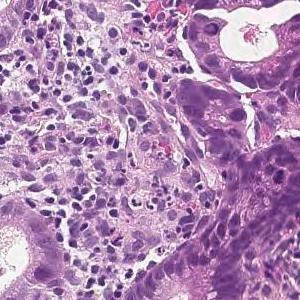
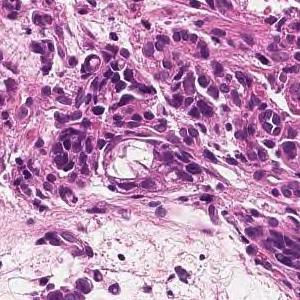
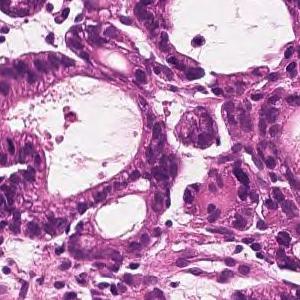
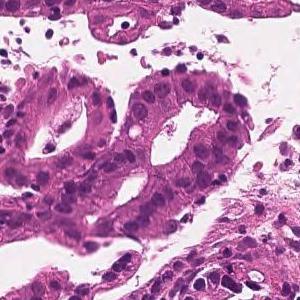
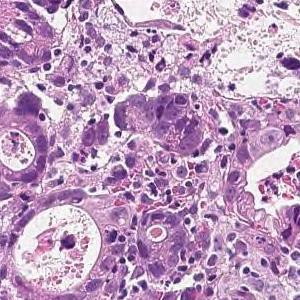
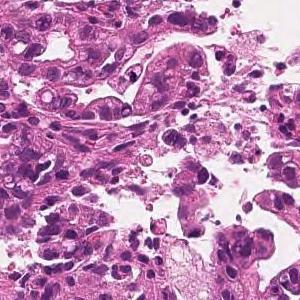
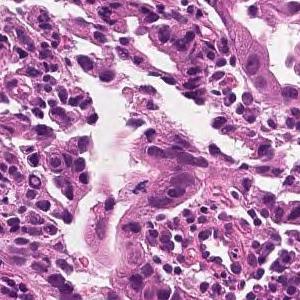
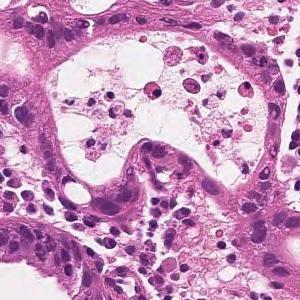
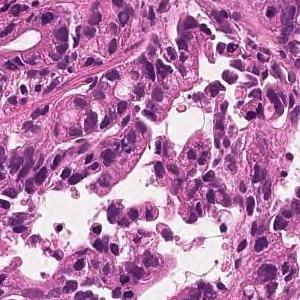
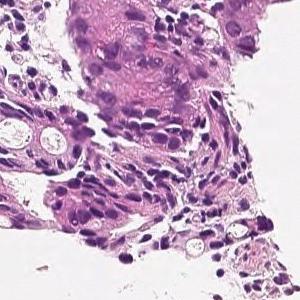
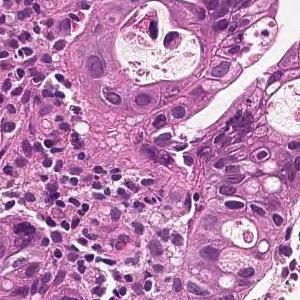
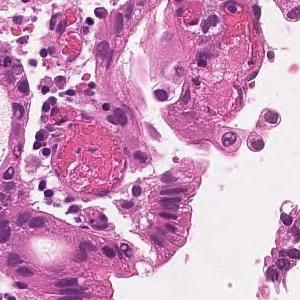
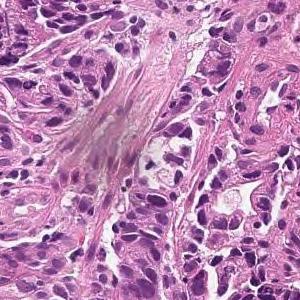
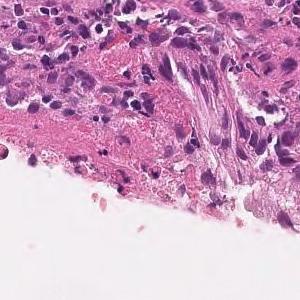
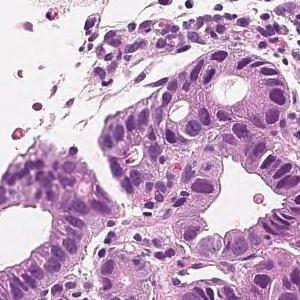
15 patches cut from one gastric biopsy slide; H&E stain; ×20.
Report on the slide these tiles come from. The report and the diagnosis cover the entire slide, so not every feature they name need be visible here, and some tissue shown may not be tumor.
On the superficial epithelium, tumor tissue is found in which medium-sized irregular gland ducts fuse with each other and infiltrate. moderately differentiated tubular adenocarcinoma
